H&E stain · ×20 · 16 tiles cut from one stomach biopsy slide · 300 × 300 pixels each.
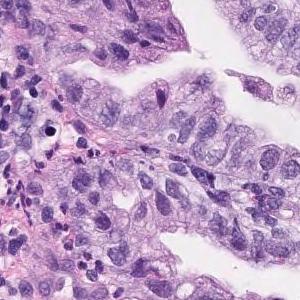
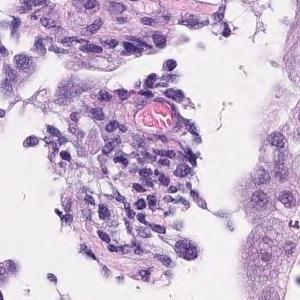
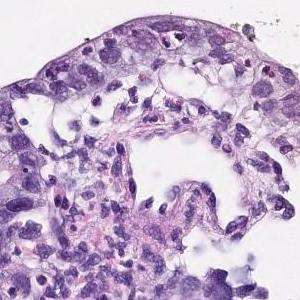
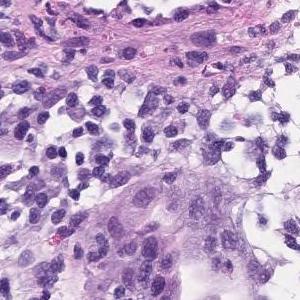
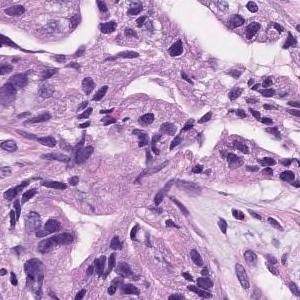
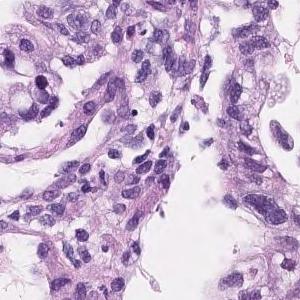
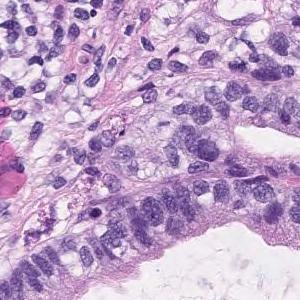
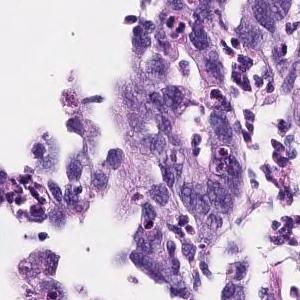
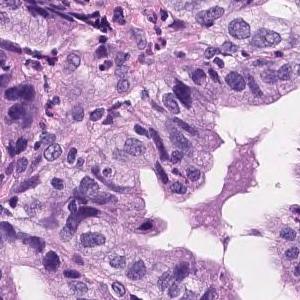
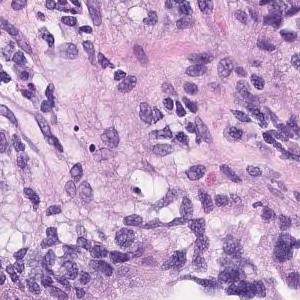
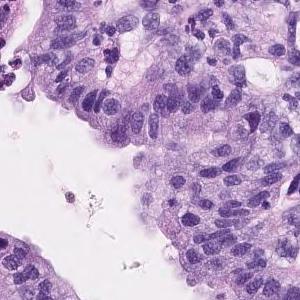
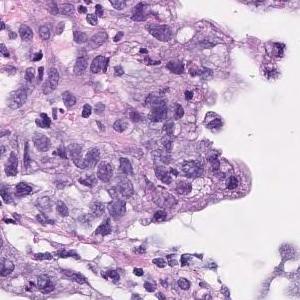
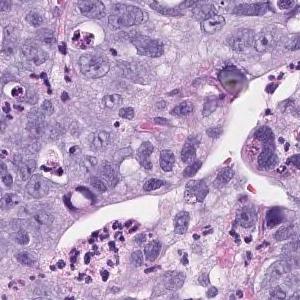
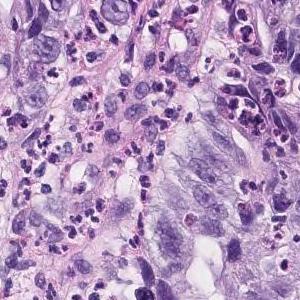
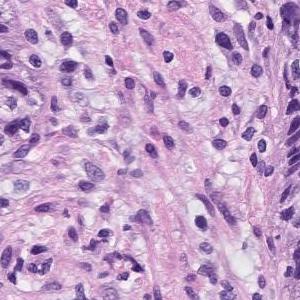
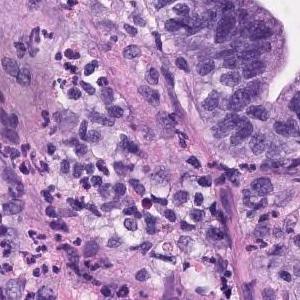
Pathology report for the slide these tiles were cut from. The report describes the whole slide, diagnosis included: not every finding it names need appear in these tiles, which may also show non-tumor tissue.
Tumor cells are large, highly columnar, large club-shaped nuclei, and are associated with chromatin aggregation. Papillary adenocarcinoma.
